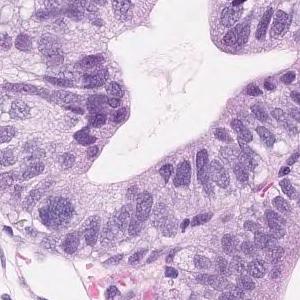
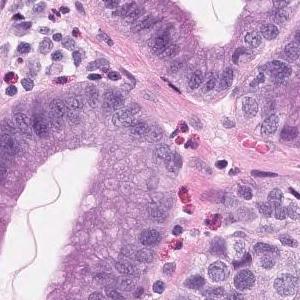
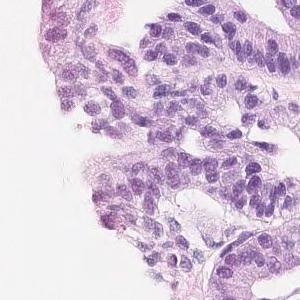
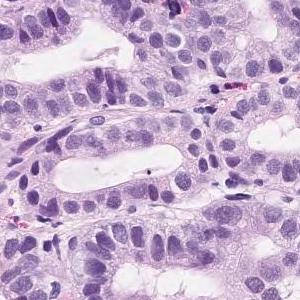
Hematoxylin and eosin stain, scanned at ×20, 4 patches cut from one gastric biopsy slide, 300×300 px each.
Pathology report for the biopsy slide these tiles were cut from. The report describes the whole slide, diagnosis included: not every finding it names need appear in these tiles, which may also show non-tumor tissue.
Short atypical epithelium with swelling of the nucleus shows proliferating, large and small irregular ductal structures. Well to moderately differentiated tubular adenocarcinoma (well differentiated tubular adenocarcinoma-moderately differentiated tubular adenocarcinoma)
Classified as well to moderately differentiated tubular adenocarcinoma.
